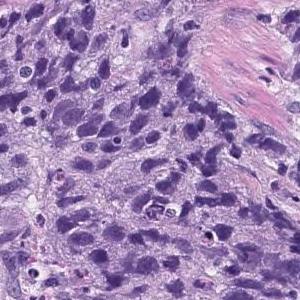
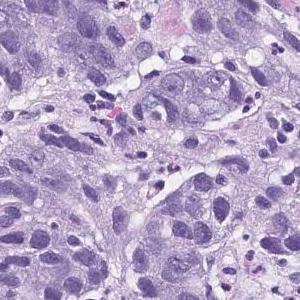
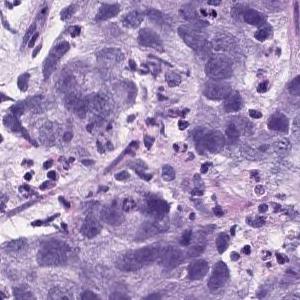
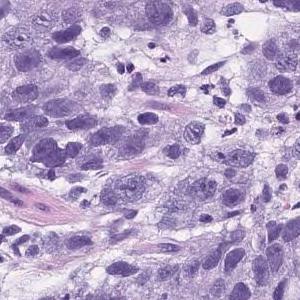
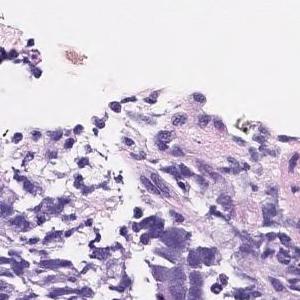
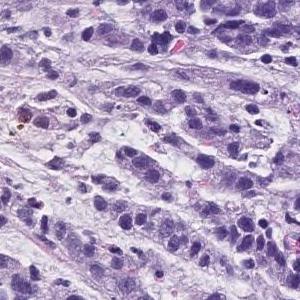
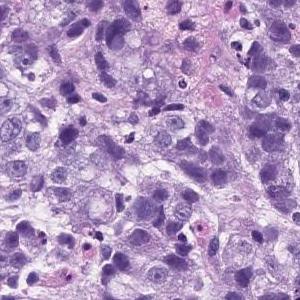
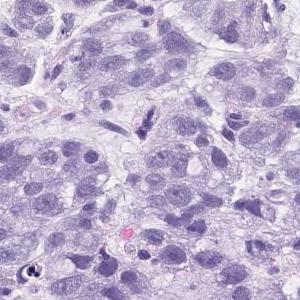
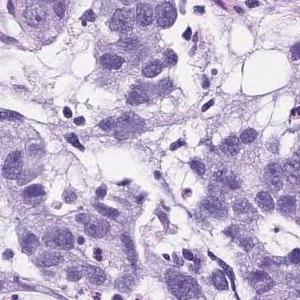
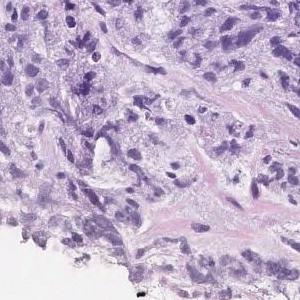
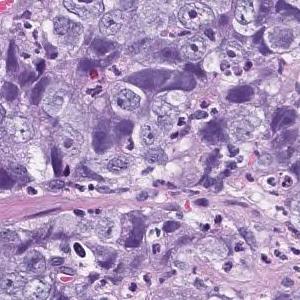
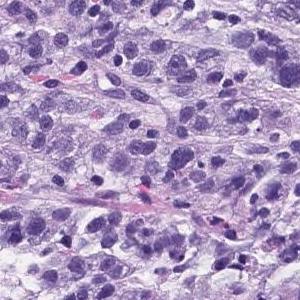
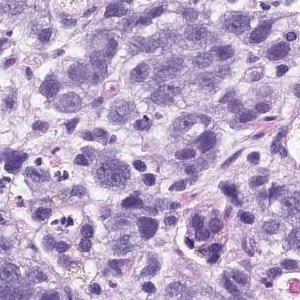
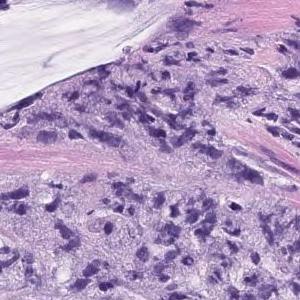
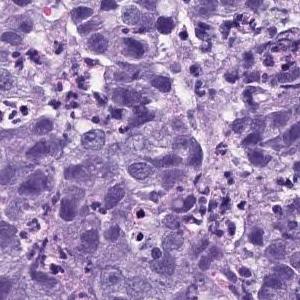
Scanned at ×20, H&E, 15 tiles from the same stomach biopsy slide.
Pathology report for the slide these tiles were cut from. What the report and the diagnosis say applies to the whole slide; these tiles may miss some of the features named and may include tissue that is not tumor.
Atypical l cells with atypical nuclei forming solid vesicles or small irregular atypical ducts that proliferate in a complex manner. poorly differentiated adenocarcinoma, solid type, moderately differentiated tubular adenocarcinoma
"Solid type" is a category of the Japanese Classification of Gastric Carcinoma; in the WHO 2019 classification it is tubular adenocarcinoma, poorly differentiated.
